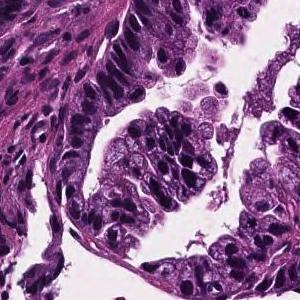
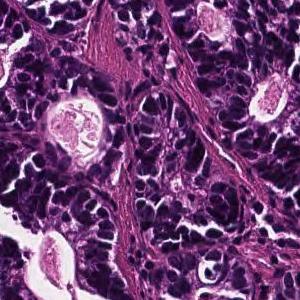
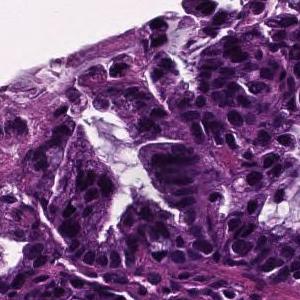
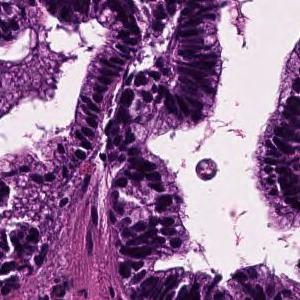
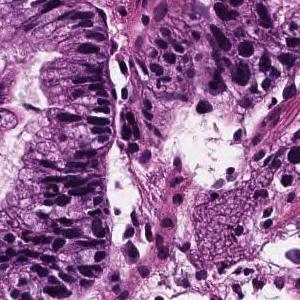
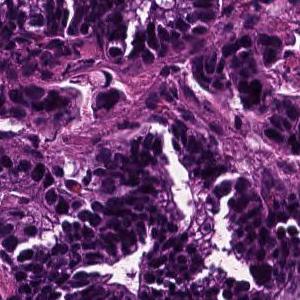
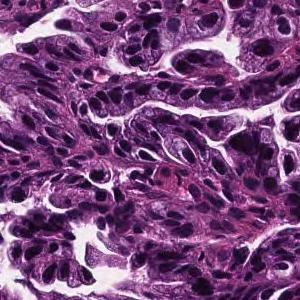
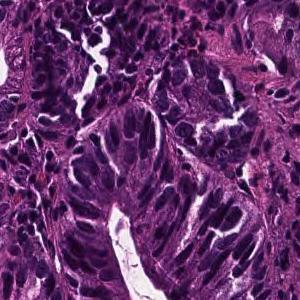
Scanned at ×20, 8 patches cut from one gastric biopsy slide.
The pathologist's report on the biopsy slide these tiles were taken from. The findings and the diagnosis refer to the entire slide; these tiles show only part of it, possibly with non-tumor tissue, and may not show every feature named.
In the superficial epithelium, tumor tissue that invades by forming medium-sized to small, irregular ducts is observed. Well differentiated tubular adenocarcinoma.
